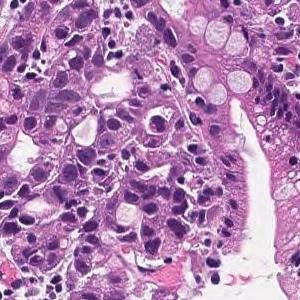
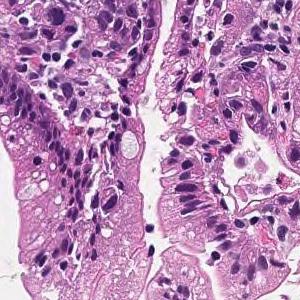
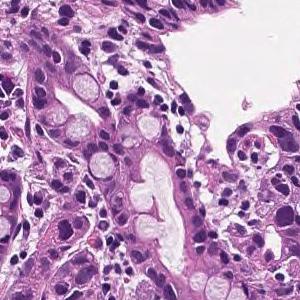
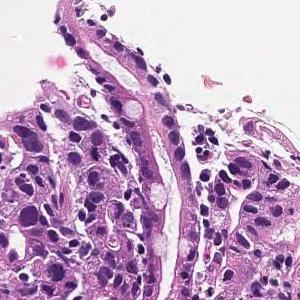
20× magnification · H&E stain · 4 patches cut from one gastric biopsy slide · 300 × 300 pixels each.
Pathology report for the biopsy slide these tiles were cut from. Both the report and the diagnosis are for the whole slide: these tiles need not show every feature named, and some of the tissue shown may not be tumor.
In the superficial epithelium, tumor tissue that invades by forming medium-sized to small, irregular ducts is observed. moderately differentiated tubular adenocarcinoma.
